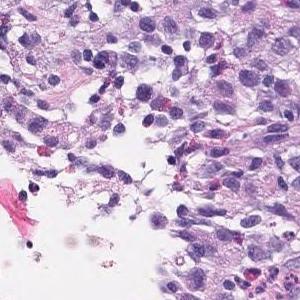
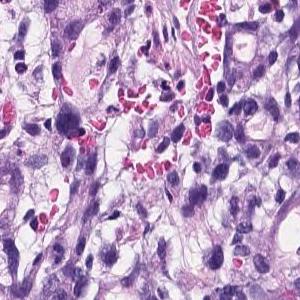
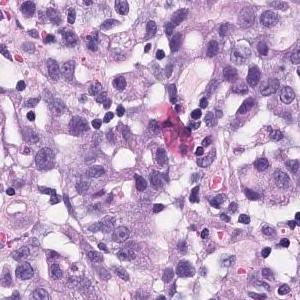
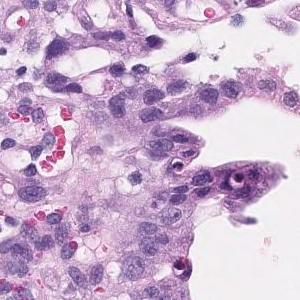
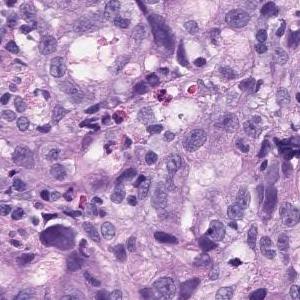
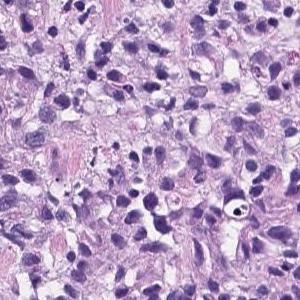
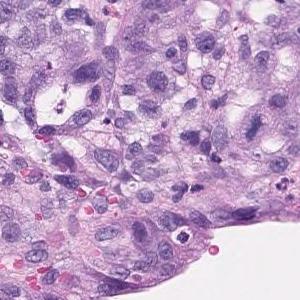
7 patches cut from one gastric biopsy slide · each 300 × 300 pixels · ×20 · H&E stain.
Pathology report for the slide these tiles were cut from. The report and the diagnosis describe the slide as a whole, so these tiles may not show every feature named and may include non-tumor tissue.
There are atypical l cells with atypical nuclei forming cord-like or irregular atypical ducts from solidity and proliferating in a comprehensive manner. Poorly differentiated adenocarcinoma, Moderately differentiated adenocarcinoma (poorly differentiated adenocarcinoma, solid type moderately differentiated tubular adenocarcinoma)
Histological subtype: Moderately to poorly differentiated adenocarcinoma.
"Solid type" is a category of the Japanese Classification of Gastric Carcinoma; in the WHO 2019 classification it is tubular adenocarcinoma, poorly differentiated.
